H&E stain; scanned at ×20; 12 patches cut from one gastric biopsy slide.
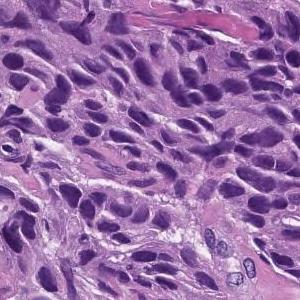
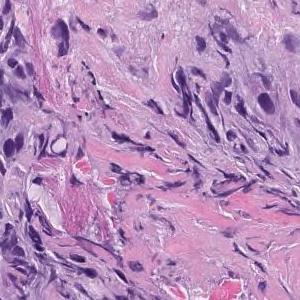
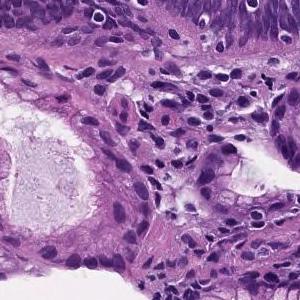
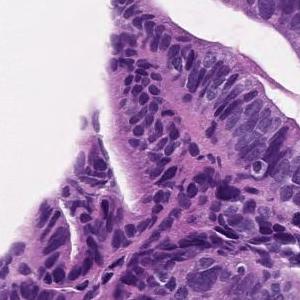
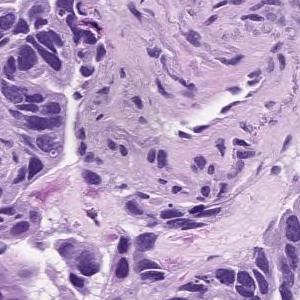
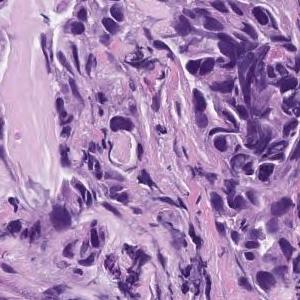
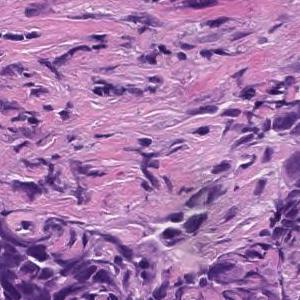
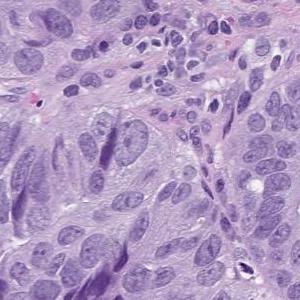
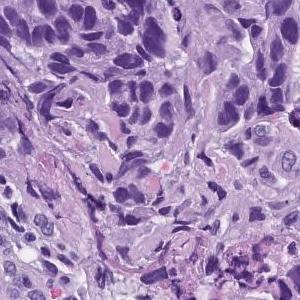
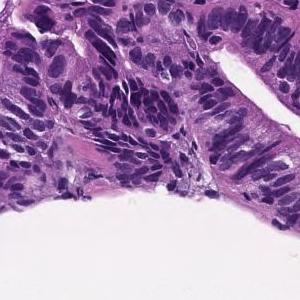
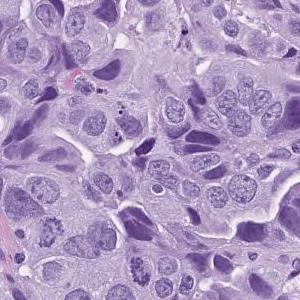
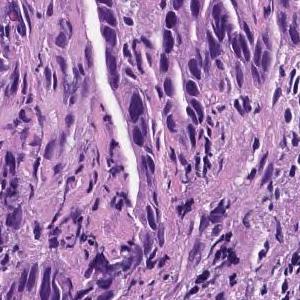
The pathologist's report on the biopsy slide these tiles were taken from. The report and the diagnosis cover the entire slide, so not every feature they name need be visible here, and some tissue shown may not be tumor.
In the superficial epithelium, tumor tissue that invades by forming medium-sized to small, irregular ducts is observed. moderately differentiated tubular adenocarcinoma.
